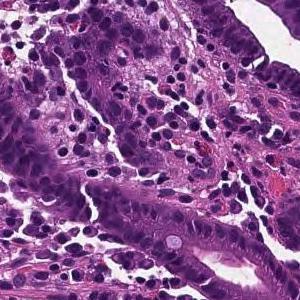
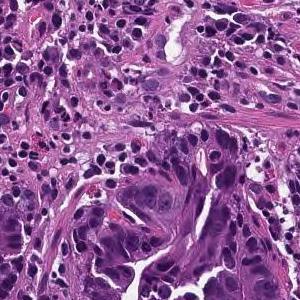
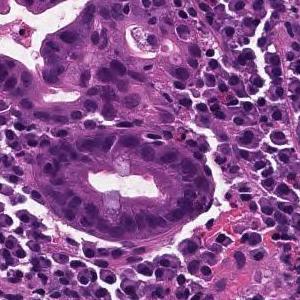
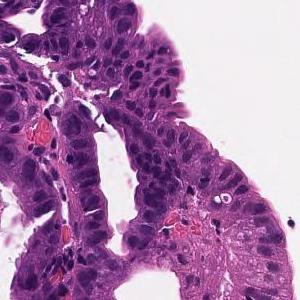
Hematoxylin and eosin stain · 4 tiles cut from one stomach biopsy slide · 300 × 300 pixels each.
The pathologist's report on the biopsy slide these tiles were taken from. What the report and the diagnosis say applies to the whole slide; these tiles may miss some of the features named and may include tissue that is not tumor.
From the superficial epithelium to the muscularis mucosae, tumor tissue consisting of medium-sized and irregular glandular ducts infiltrating is observed. Well differentiated tubular adenocarcinoma
